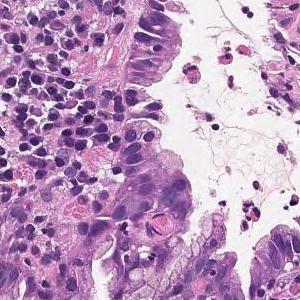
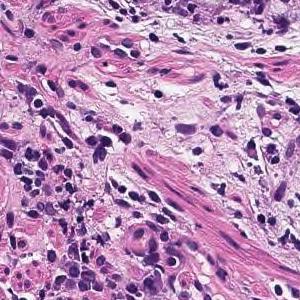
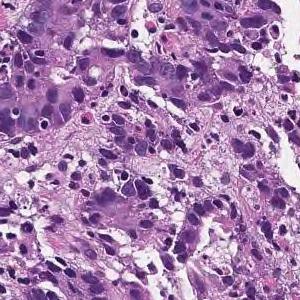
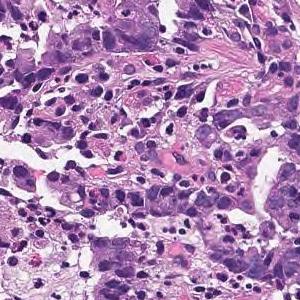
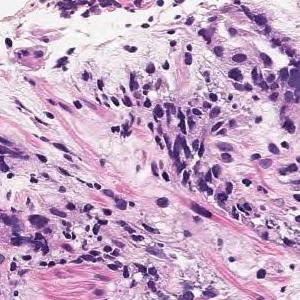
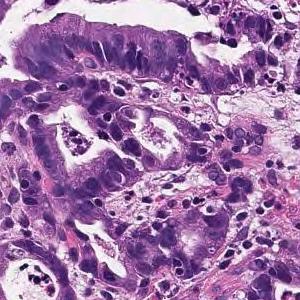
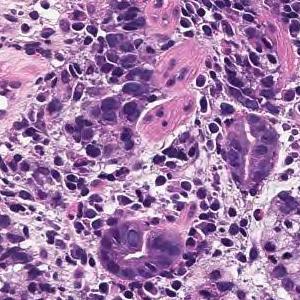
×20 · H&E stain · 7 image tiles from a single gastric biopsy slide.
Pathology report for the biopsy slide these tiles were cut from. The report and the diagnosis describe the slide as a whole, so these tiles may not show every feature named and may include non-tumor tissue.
Tumor tissue consisting of cord-like or small, irregular glandular ducts fused and infiltrated is observed in the superficial epithelium. Poorly differentiated adenocarcinoma, non-solid type
The term "non-solid type" comes from the Japanese Classification of Gastric Carcinoma.
